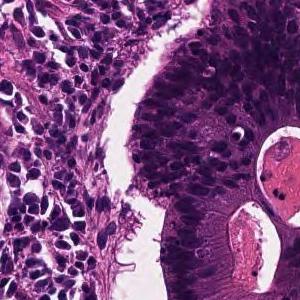
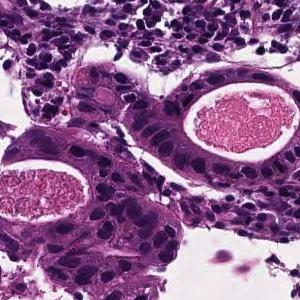
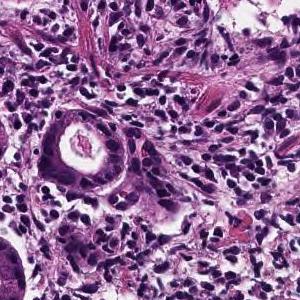
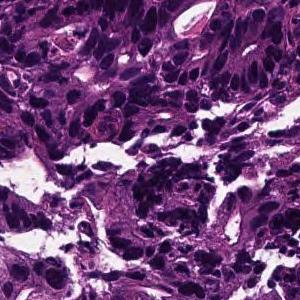
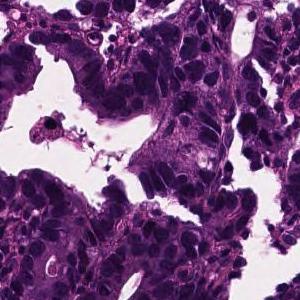
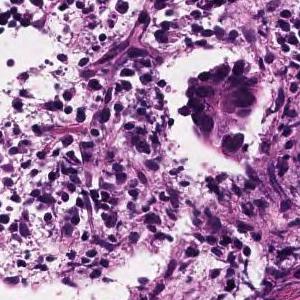
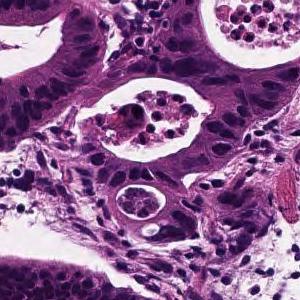
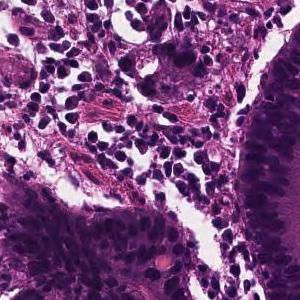
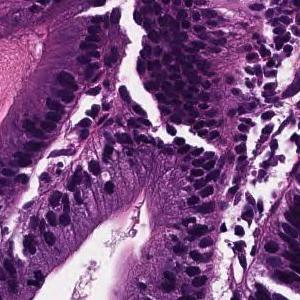
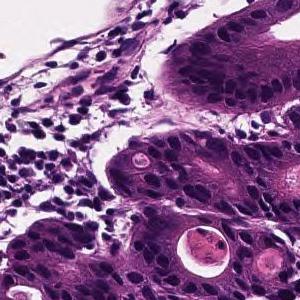
10 tiles from the same stomach biopsy slide, ×20, H&E.
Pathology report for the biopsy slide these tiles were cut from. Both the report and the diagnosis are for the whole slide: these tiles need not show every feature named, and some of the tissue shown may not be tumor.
In the superficial epithelium, tumor tissue that invades by forming medium-sized to small, irregular ducts is observed. moderately differentiated tubular adenocarcinoma.
